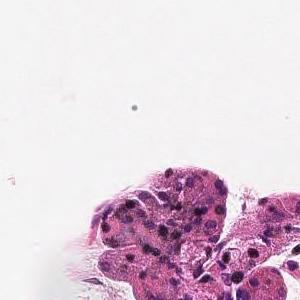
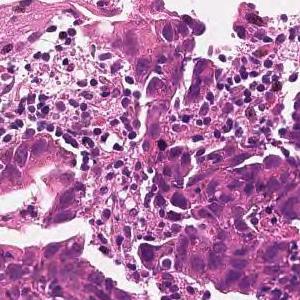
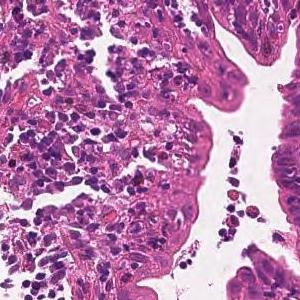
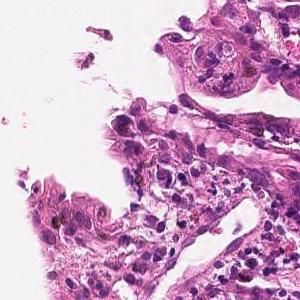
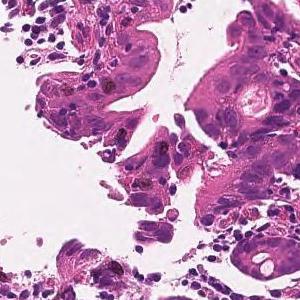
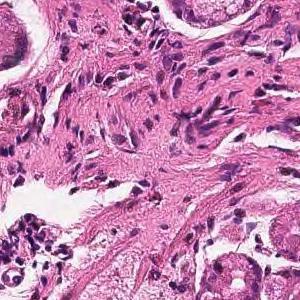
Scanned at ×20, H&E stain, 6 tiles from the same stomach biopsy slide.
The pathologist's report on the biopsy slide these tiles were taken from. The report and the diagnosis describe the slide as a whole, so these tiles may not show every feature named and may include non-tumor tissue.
On the superficial epithelium, tumor tissue is found in which medium-sized irregular gland ducts fuse with each other and infiltrate. moderately differentiated tubular adenocarcinoma
